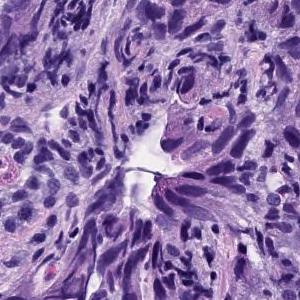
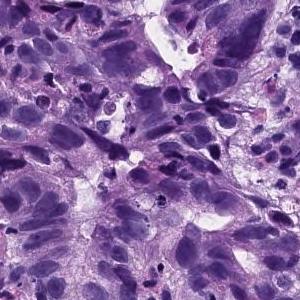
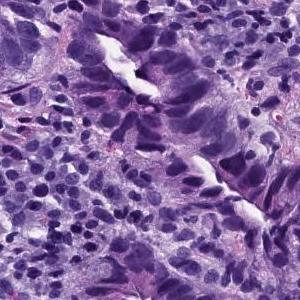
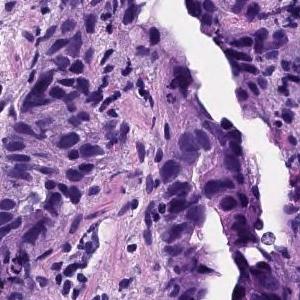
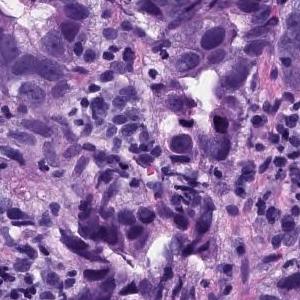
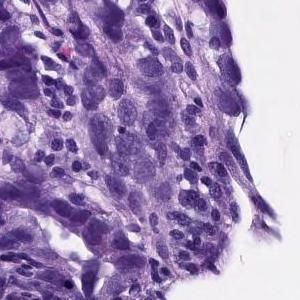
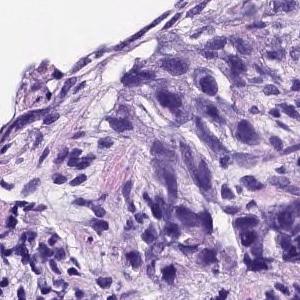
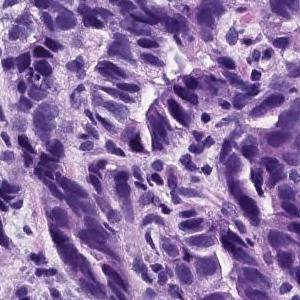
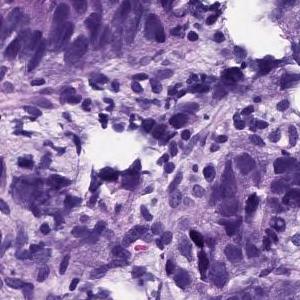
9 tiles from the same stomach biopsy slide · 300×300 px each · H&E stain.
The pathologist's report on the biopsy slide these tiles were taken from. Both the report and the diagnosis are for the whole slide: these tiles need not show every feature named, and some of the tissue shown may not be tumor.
In the superficial epithelium, tumor tissue that invades by forming medium-sized to small, irregular ducts is observed. Moderately differentiated adenocarcinoma.
Classified as moderately differentiated tubular adenocarcinoma.
